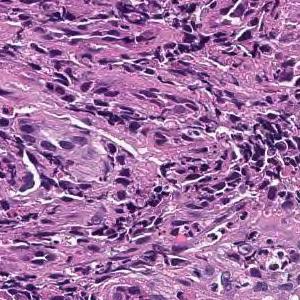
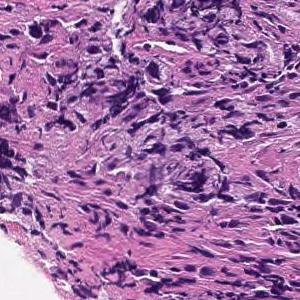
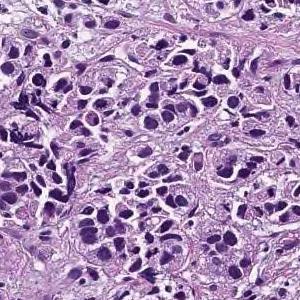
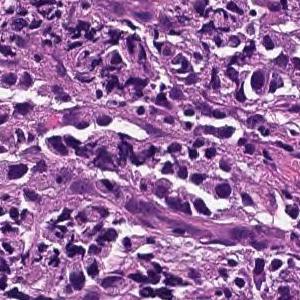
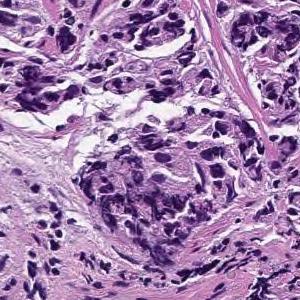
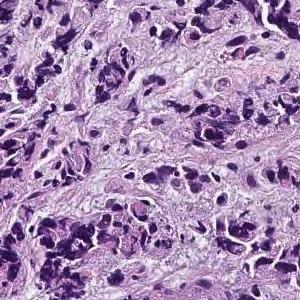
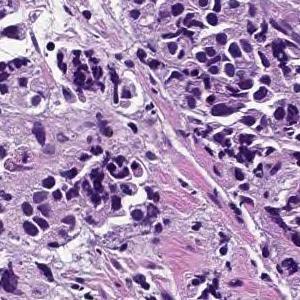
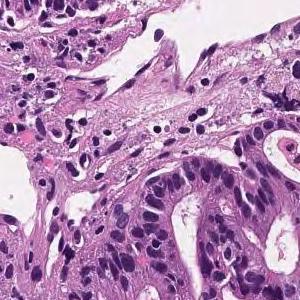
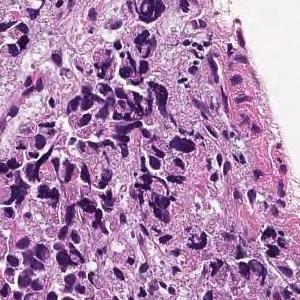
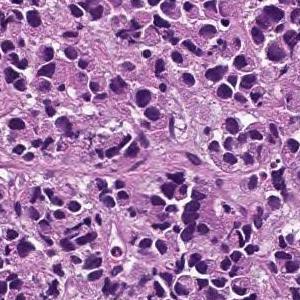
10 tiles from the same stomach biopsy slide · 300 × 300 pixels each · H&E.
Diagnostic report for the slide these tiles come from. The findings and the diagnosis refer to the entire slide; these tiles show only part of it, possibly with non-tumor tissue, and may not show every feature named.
The lamina propria shows small cord-like tumor tissue that infiltrates with fibrosis and marked chronic inflammatory cell infiltration. Poorly differentiated adenocarcinoma, non-solid type
The non-solid type named here is a Japanese Classification of Gastric Carcinoma category.
